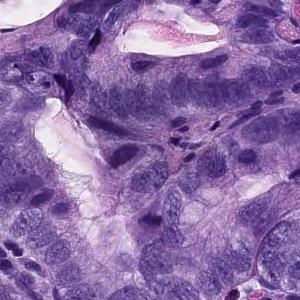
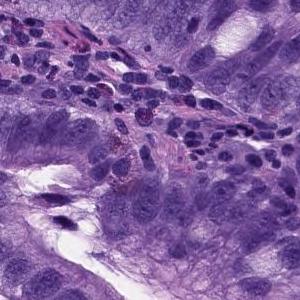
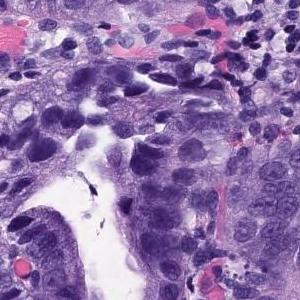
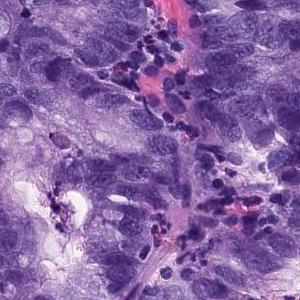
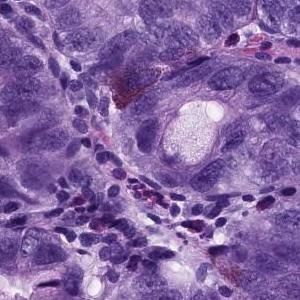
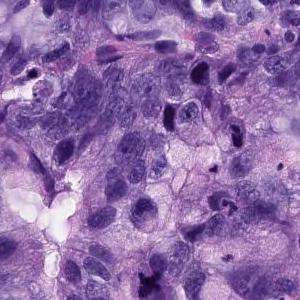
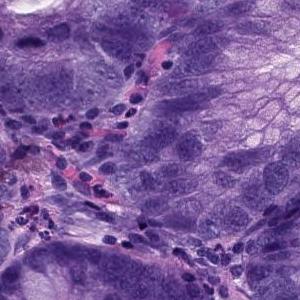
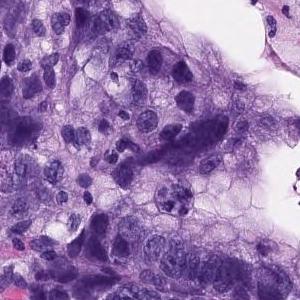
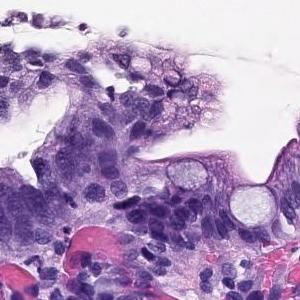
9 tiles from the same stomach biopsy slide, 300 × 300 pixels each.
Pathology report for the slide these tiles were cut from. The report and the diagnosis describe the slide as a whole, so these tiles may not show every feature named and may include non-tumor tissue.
There are large atypical epithelial cells infiltrating and proliferating while forming atypical glandular cavities showing a fusion tendency. Moderately differentiated tubular adenocarcinoma.
